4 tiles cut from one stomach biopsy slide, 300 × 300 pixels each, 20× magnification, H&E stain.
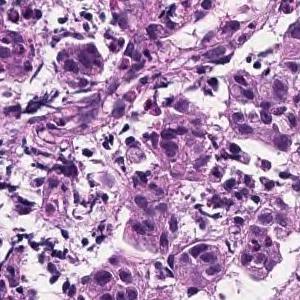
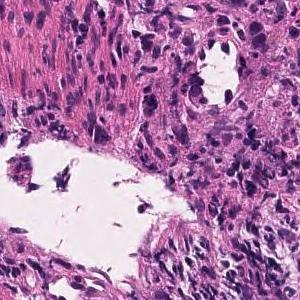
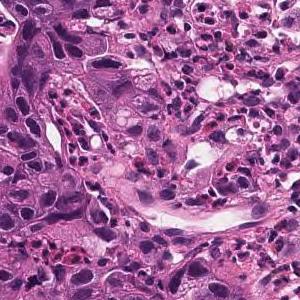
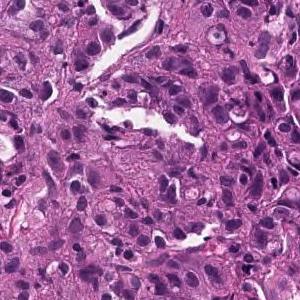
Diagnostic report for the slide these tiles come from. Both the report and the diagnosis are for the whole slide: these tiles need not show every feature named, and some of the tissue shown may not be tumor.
Tumor tissue consisting of medium-sized, cord-like or irregular glandular infiltration is observed in the superficial epithelium. Poorly differentiated adenocarcinoma, non-solid type or moderately differentiated tubular adenocarcinoma
The non-solid type named here is a Japanese Classification of Gastric Carcinoma category.
